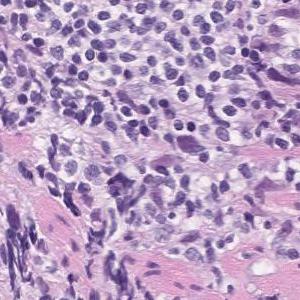
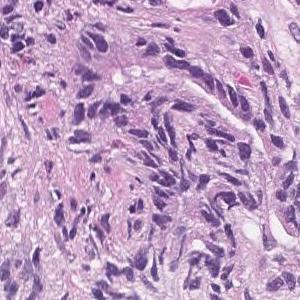
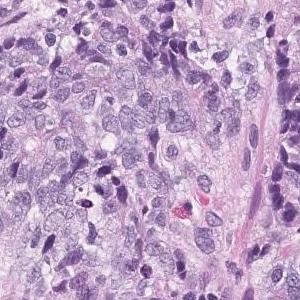
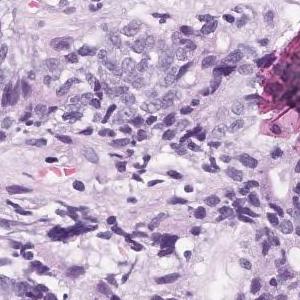
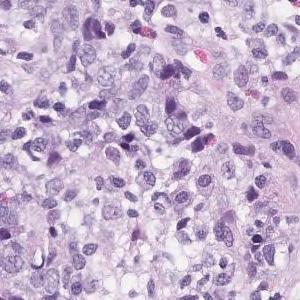
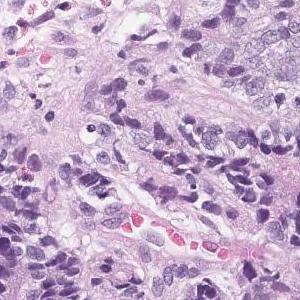
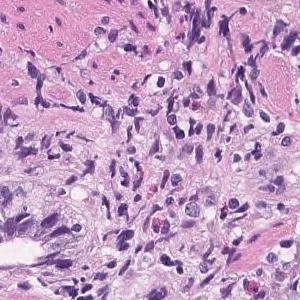
7 tiles from the same stomach biopsy slide · H&E stain · ×20.
Pathology report for the slide these tiles were cut from. The report describes the whole slide, diagnosis included: not every finding it names need appear in these tiles, which may also show non-tumor tissue.
Highly columnar epithelium with disordered nuclear localization proliferates showing fusion ductal construction. moderately differentiated tubular adenocarcinoma
